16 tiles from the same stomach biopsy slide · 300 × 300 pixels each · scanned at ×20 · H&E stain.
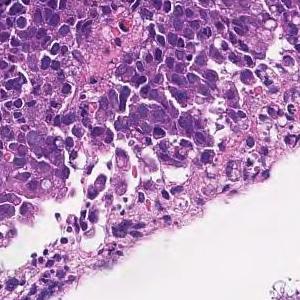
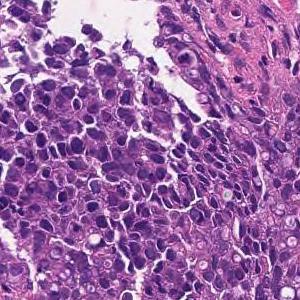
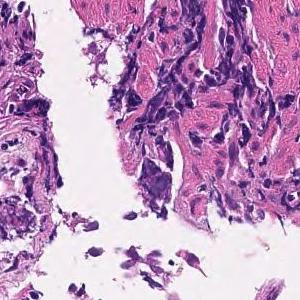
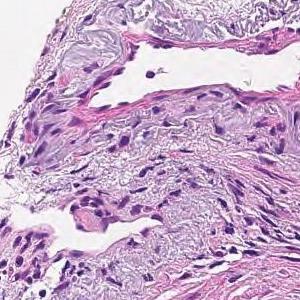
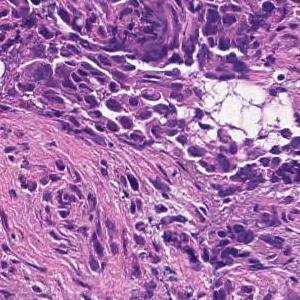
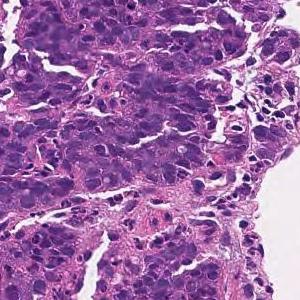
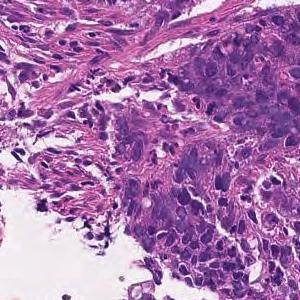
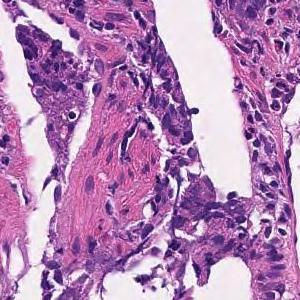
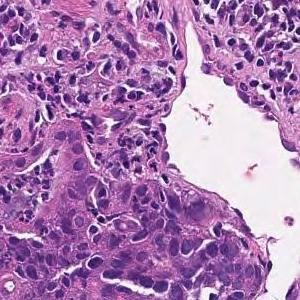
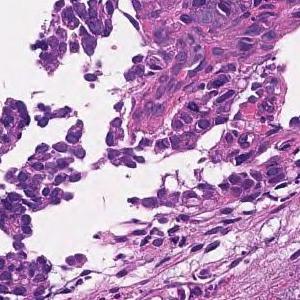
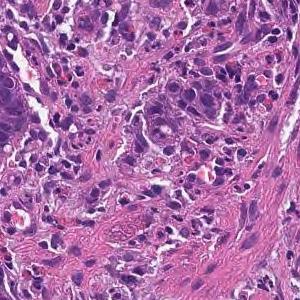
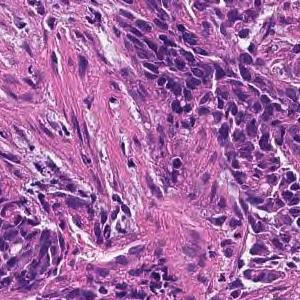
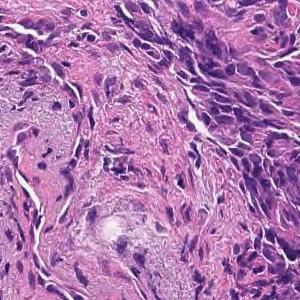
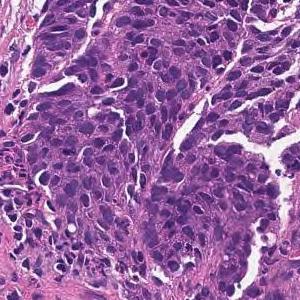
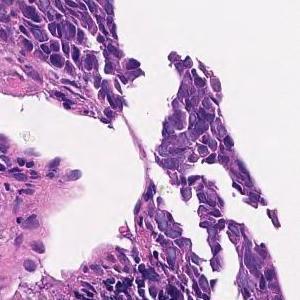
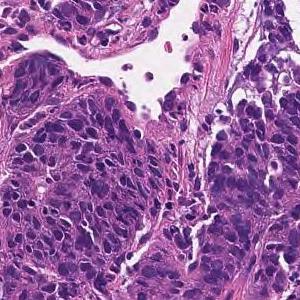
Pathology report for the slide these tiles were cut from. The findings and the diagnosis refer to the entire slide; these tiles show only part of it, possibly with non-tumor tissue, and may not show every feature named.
Tumor tissue consisting of cord-like or small, irregular glandular ducts fused and infiltrated is observed in the superficial epithelium. Poorly differentiated adenocarcinoma, non-solid type
The non-solid type named here is a Japanese Classification of Gastric Carcinoma category.
